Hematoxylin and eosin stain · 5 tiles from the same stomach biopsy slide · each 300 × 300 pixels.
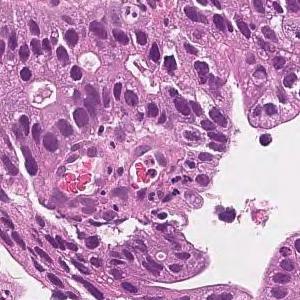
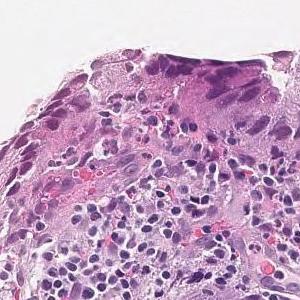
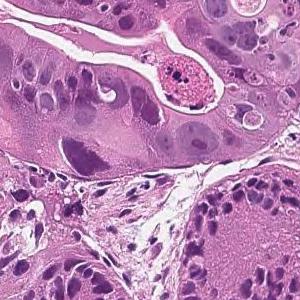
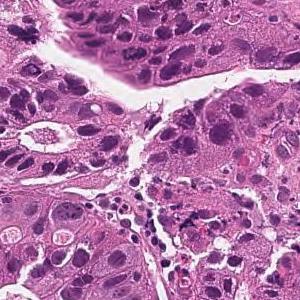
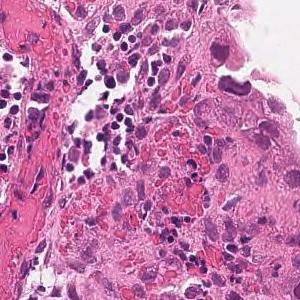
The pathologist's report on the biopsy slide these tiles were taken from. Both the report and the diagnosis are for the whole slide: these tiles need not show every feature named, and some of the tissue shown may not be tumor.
In the superficial epithelium, tumor tissue that invades by forming medium-sized to small, irregular ducts is observed. moderately differentiated tubular adenocarcinoma.
